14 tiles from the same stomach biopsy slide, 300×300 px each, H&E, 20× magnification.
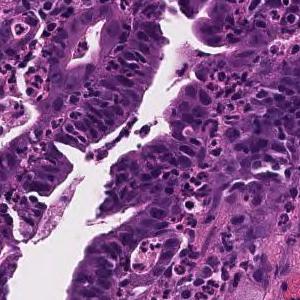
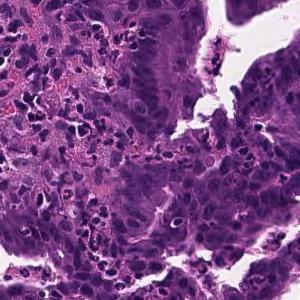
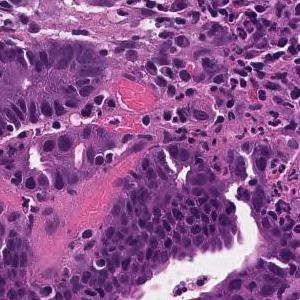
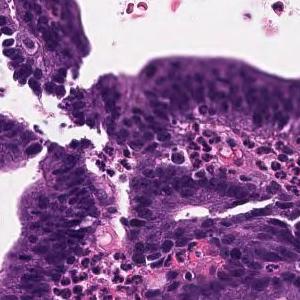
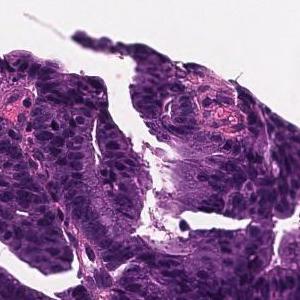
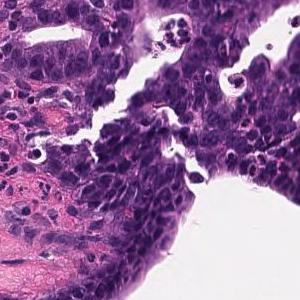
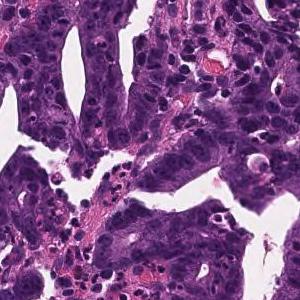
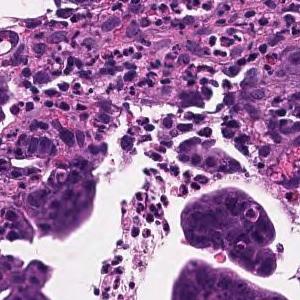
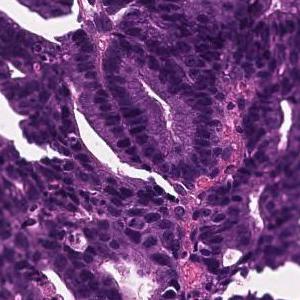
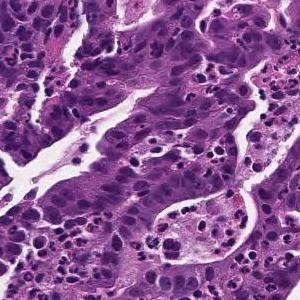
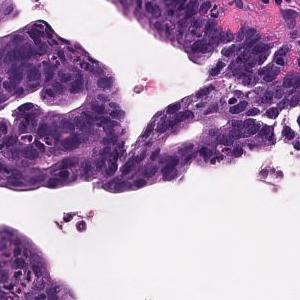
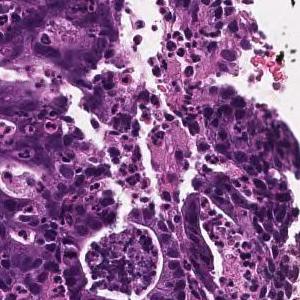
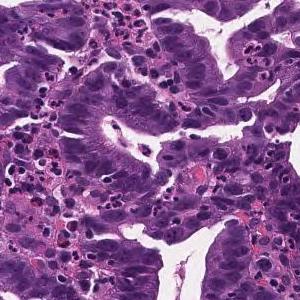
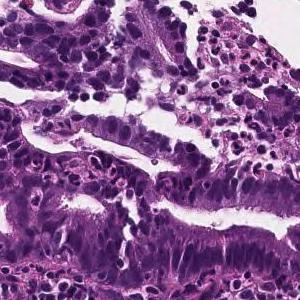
Report on the slide these tiles come from. The report and the diagnosis cover the entire slide, so not every feature they name need be visible here, and some tissue shown may not be tumor.
Tumor cells are large, highly columnar, large club-shaped nuclei, and are associated with chromatin aggregation. Papillary adenocarcinoma.
